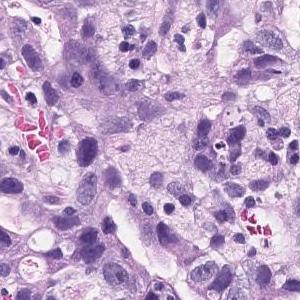
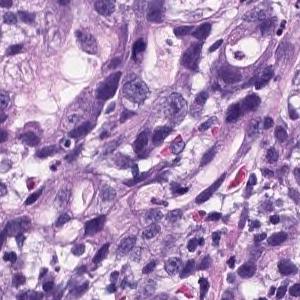
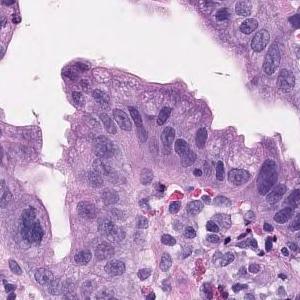
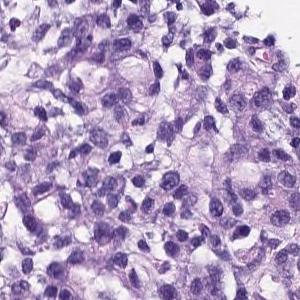
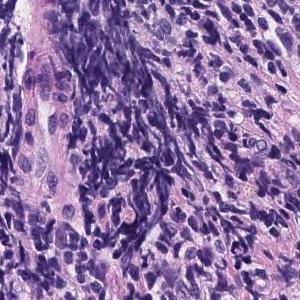
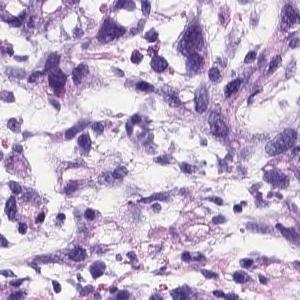
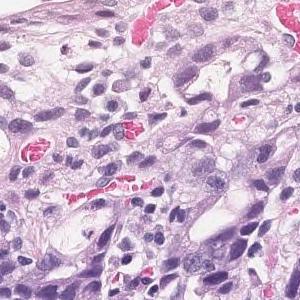
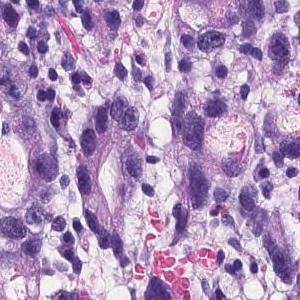
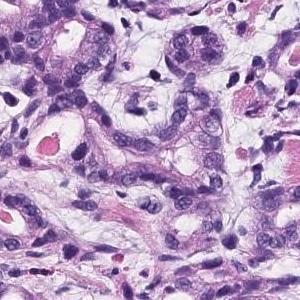
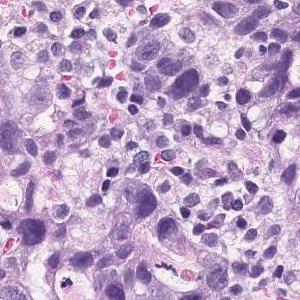
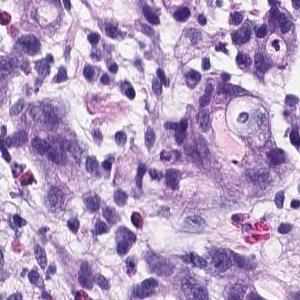
Hematoxylin and eosin stain, ×20, 11 patches cut from one gastric biopsy slide.
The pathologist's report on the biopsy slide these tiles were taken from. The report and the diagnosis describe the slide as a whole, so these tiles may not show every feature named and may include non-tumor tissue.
There are atypical l cells with atypical nuclei forming cord-like or irregular atypical ducts from solidity and proliferating in a comprehensive manner. Poorly differentiated adenocarcinoma, Moderately differentiated adenocarcinoma (poorly differentiated adenocarcinoma, solid type moderately differentiated tubular adenocarcinoma)
Classified as moderately to poorly differentiated adenocarcinoma.
The solid type named here is a Japanese Classification of Gastric Carcinoma category; WHO 2019 calls it tubular adenocarcinoma, poorly differentiated.
